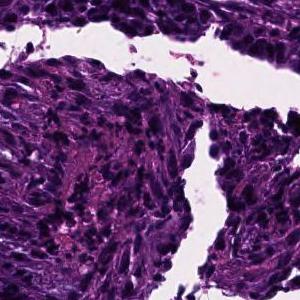
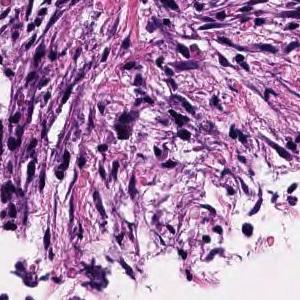
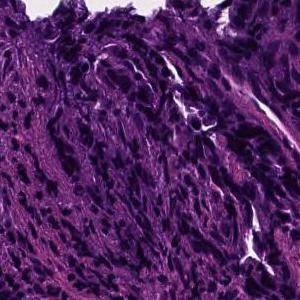
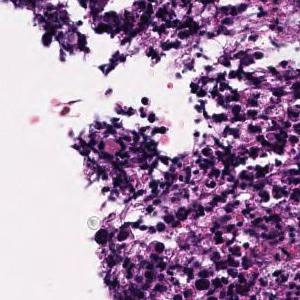
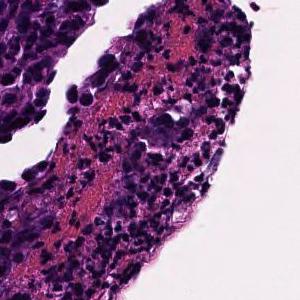
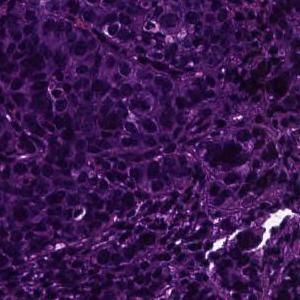
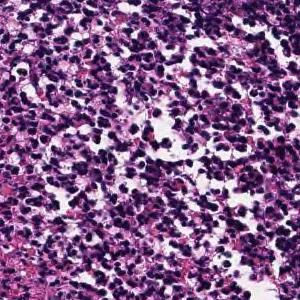
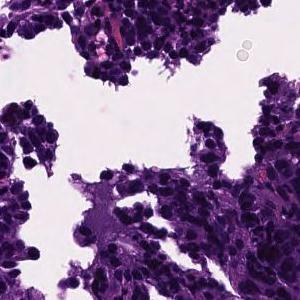
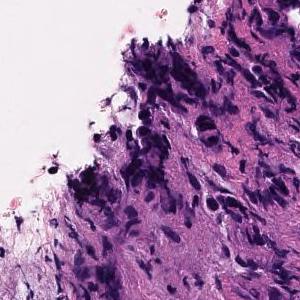
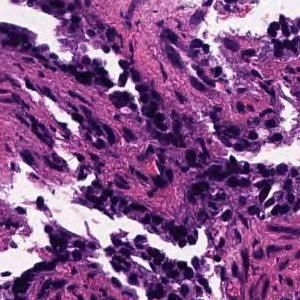
Hematoxylin and eosin stain; 10 tiles from the same stomach biopsy slide; 300 × 300 pixels each.
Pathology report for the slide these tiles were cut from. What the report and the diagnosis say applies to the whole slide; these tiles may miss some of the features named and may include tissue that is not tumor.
In the superficial epithelium, tumor tissue that invades by forming medium-sized to small, irregular ducts is observed. moderately differentiated tubular adenocarcinoma.
